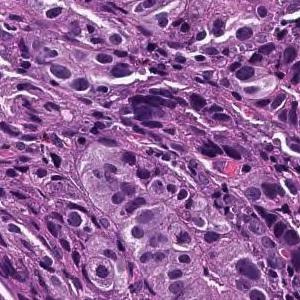
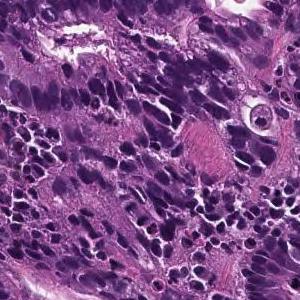
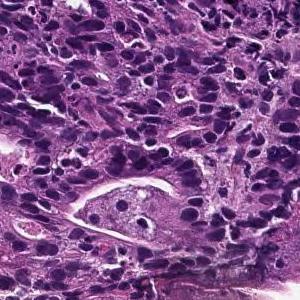
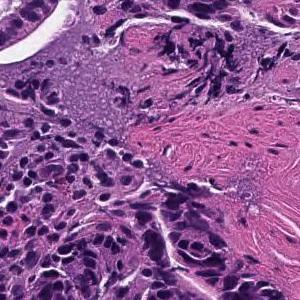
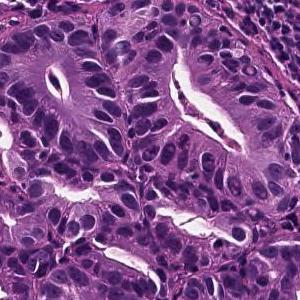
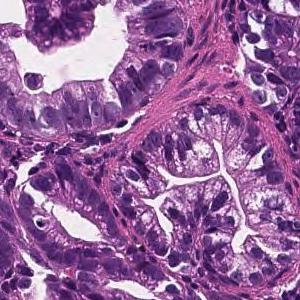
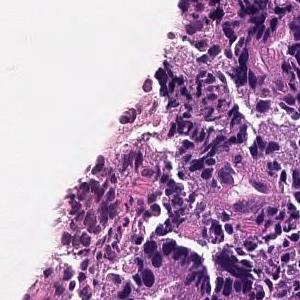
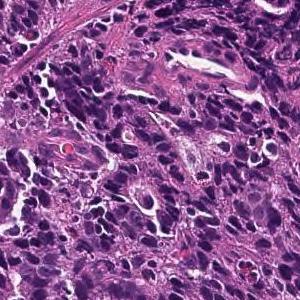
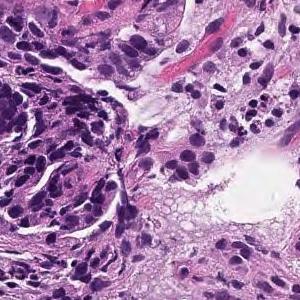
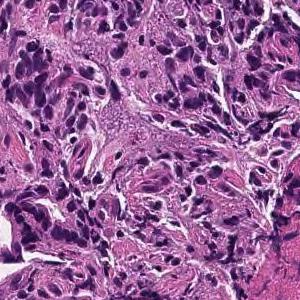
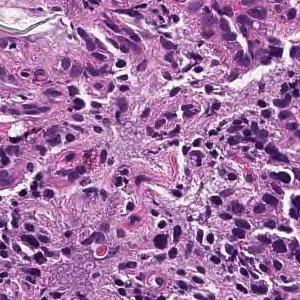
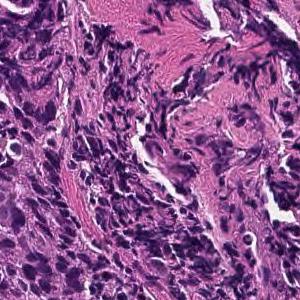
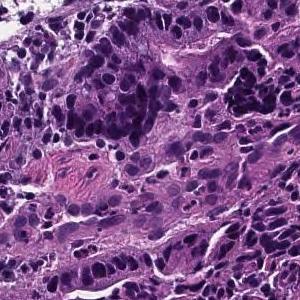
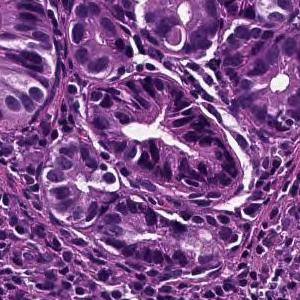
Scanned at ×20, H&E stain, 14 image tiles from a single gastric biopsy slide, 300×300 px each.
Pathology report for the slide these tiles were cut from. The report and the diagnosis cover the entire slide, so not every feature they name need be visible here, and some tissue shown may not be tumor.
On the superficial epithelium, tumor tissue consisting of large irregular glandular ducts partially fused and infiltrated is observed. Well to moderately differentiated tubular adenocarcinoma (well differentiated tubular adenocarcinoma, moderately differentiated tubular adenocarcinoma)
Subtype: Well to moderately differentiated tubular adenocarcinoma.
